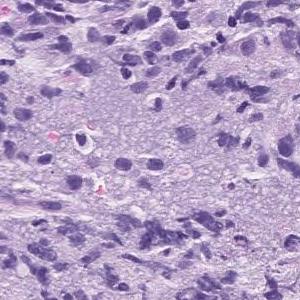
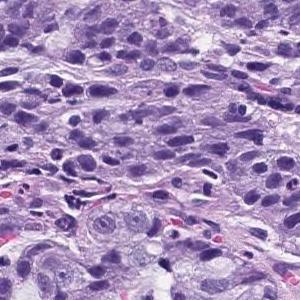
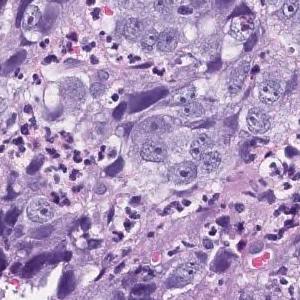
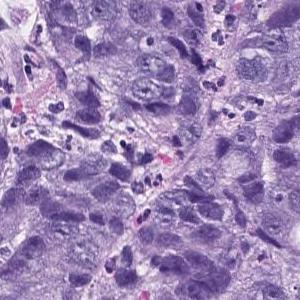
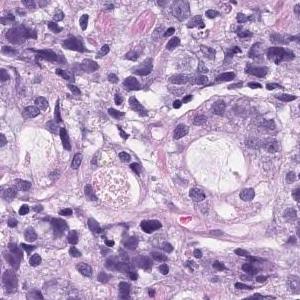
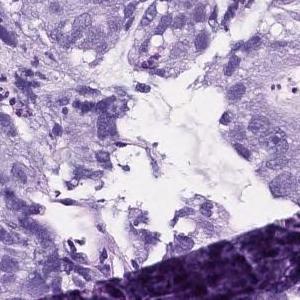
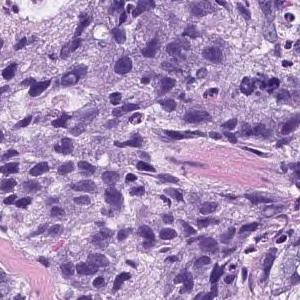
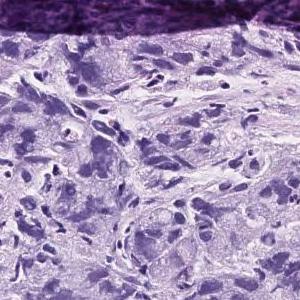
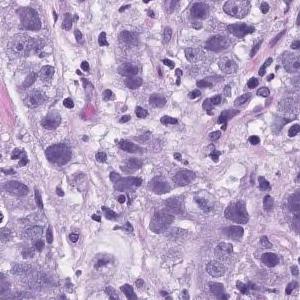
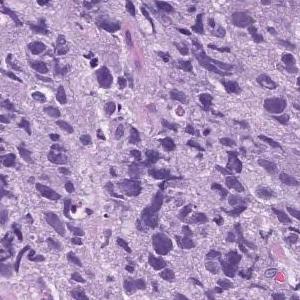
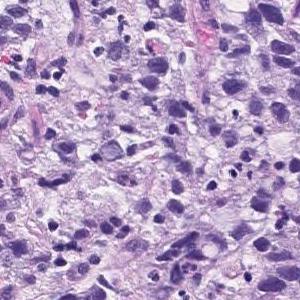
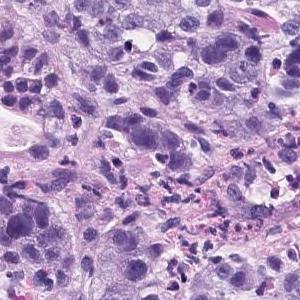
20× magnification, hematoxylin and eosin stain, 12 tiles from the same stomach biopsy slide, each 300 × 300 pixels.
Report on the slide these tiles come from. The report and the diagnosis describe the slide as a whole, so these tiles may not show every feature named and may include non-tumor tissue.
Atypical l cells with atypical nuclei forming solid vesicles or small irregular atypical ducts that proliferate in a complex manner. poorly differentiated adenocarcinoma, solid type, moderately differentiated tubular adenocarcinoma
The solid type named here is a Japanese Classification of Gastric Carcinoma category; WHO 2019 calls it tubular adenocarcinoma, poorly differentiated.
